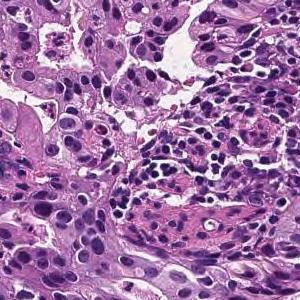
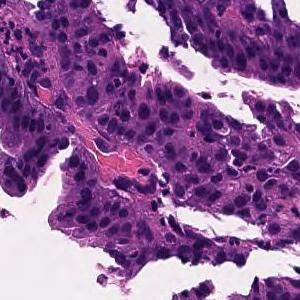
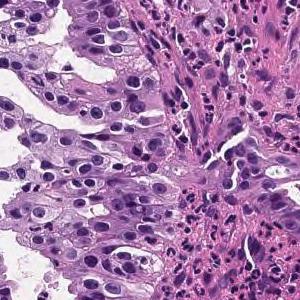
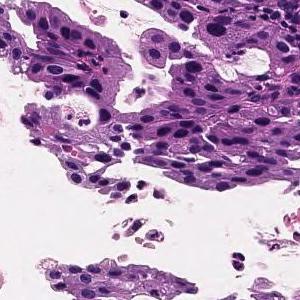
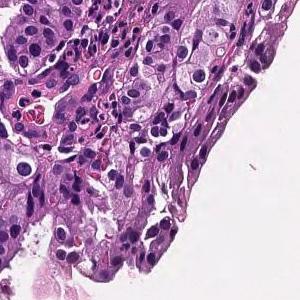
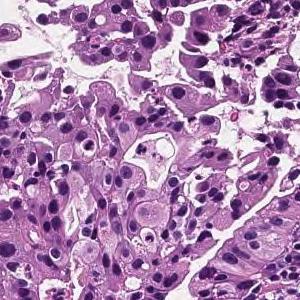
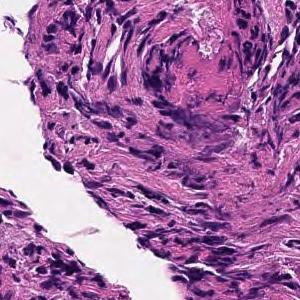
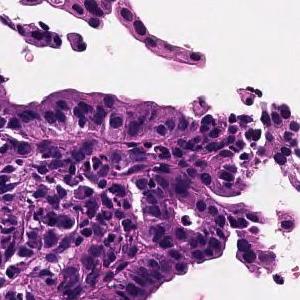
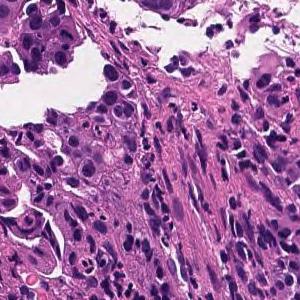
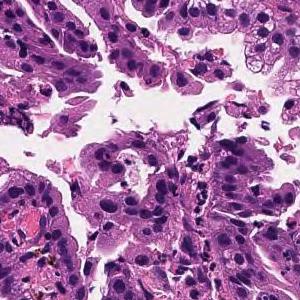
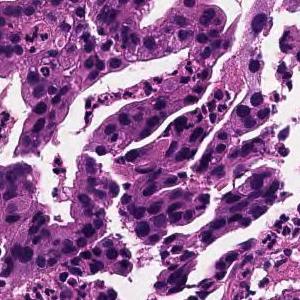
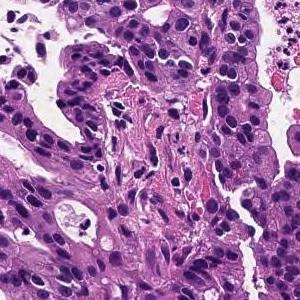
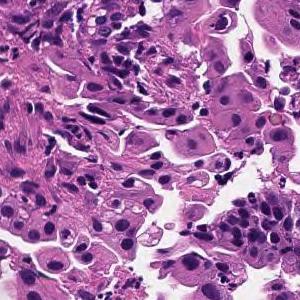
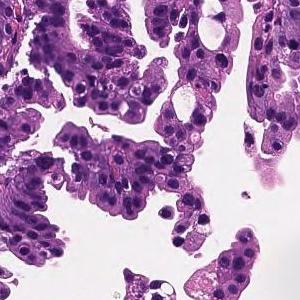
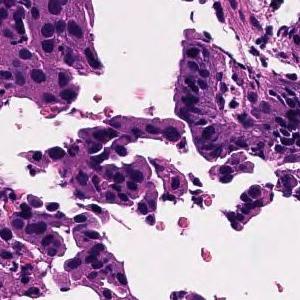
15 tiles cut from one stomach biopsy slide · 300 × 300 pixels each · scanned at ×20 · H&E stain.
Pathology report for the slide these tiles were cut from. The report and the diagnosis cover the entire slide, so not every feature they name need be visible here, and some tissue shown may not be tumor.
On the superficial epithelium, tumor tissue consisting of large, irregular glandular ducts partially fused and infiltrated is observed. Well to moderately differentiated tubular adenocarcinoma (well differentiated tubular adenocarcinoma, moderately differentiated tubular adenocarcinoma)
Subtype: Well to moderately differentiated tubular adenocarcinoma.
